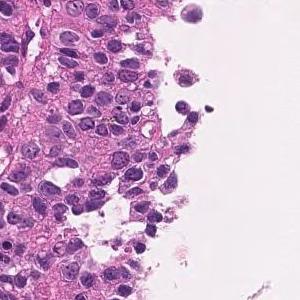
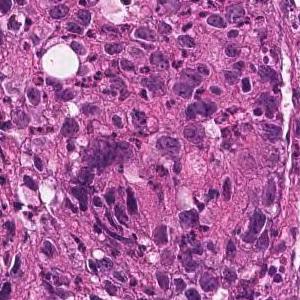
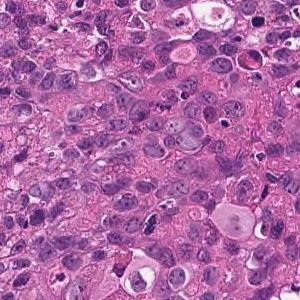
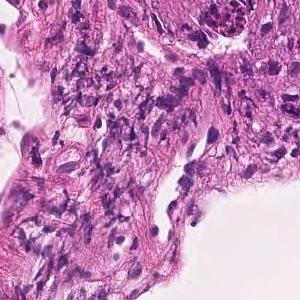
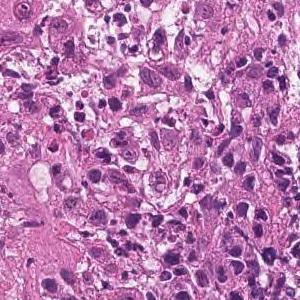
5 image tiles from a single gastric biopsy slide, 300 × 300 pixels each, ×20, H&E.
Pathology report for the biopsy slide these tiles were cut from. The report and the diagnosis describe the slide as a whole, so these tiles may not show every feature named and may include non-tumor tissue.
The superficial epithelium shows a large sheet-like shape, and some tumor tissue infiltrates with small irregular ducts. Poorly differentiated adenocarcinoma, solid-type
Classified as poorly differentiated adenocarcinoma, solid type (Japanese Classification of Gastric Carcinoma). The WHO 2019 equivalent is tubular adenocarcinoma, poorly differentiated.
